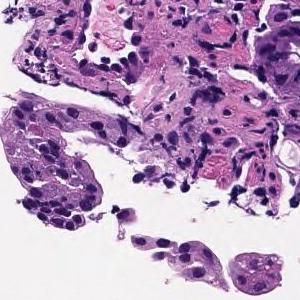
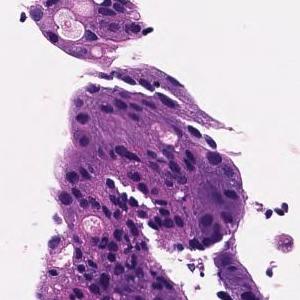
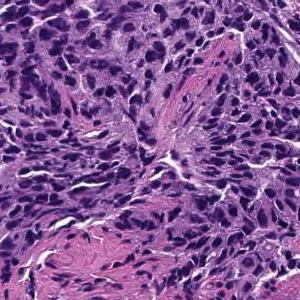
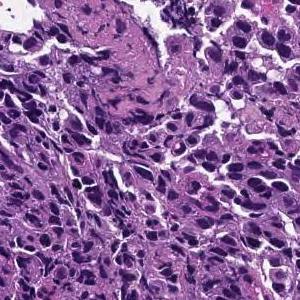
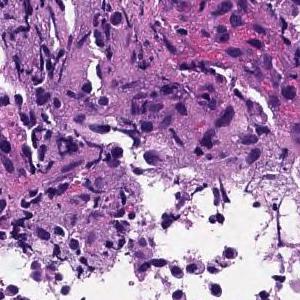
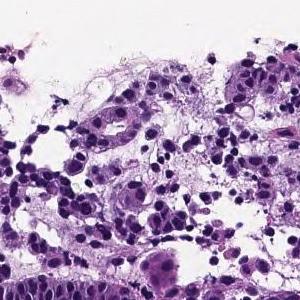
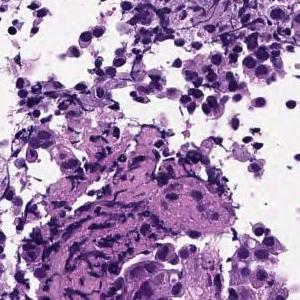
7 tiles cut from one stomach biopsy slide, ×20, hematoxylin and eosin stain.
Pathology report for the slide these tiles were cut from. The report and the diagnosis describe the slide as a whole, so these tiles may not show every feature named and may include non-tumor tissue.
The superficial epithelium shows a large sheet-like shape, and some tumor tissue infiltrates with small irregular ducts. Poorly differentiated adenocarcinoma, solid-type
Histologic type: Poorly differentiated adenocarcinoma, solid type. This name comes from the Japanese Classification of Gastric Carcinoma; the WHO 2019 classification calls it tubular adenocarcinoma, poorly differentiated.
